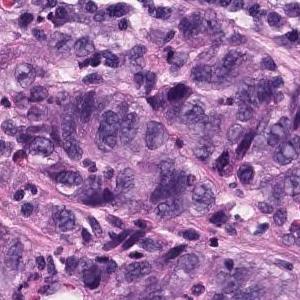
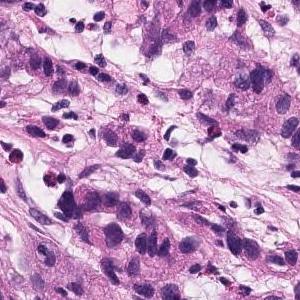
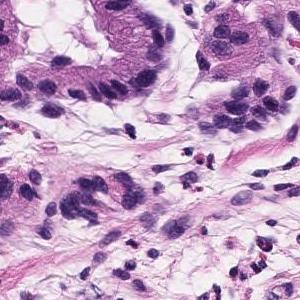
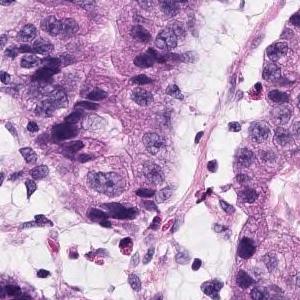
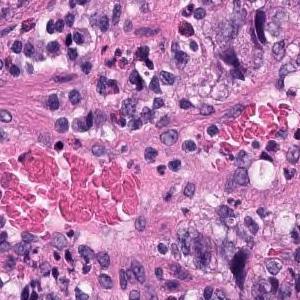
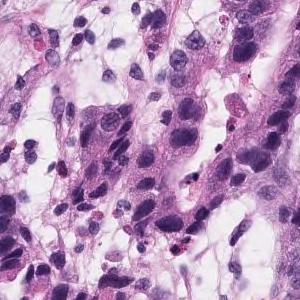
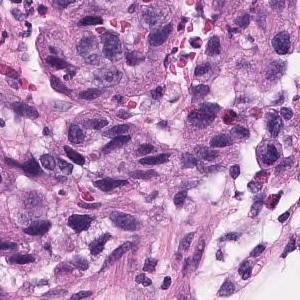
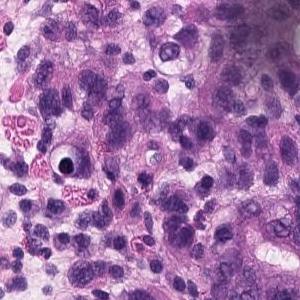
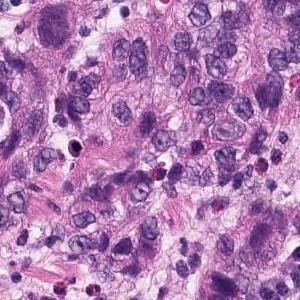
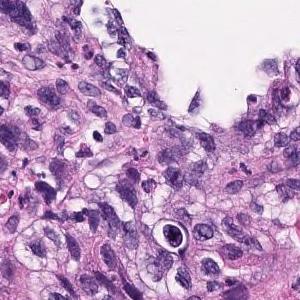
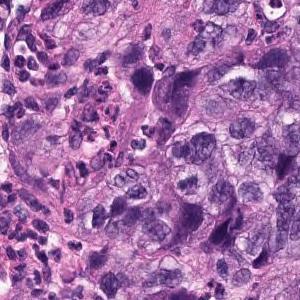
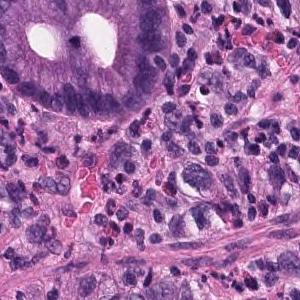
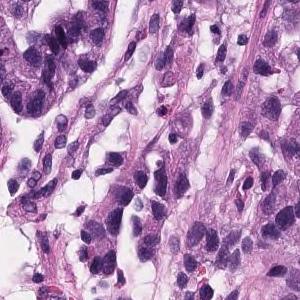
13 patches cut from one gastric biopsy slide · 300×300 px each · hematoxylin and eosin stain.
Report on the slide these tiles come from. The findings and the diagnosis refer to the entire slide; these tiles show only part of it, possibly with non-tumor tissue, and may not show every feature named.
Atypical l cells with atypical nuclei forming diffuse or small irregular atypical ducts and growing. Moderately to poorly differentiated adenocarcinoma (poorly differentiated adenocarcinoma, solid type, moderately differentiated tubular adenocarcinoma)
Histological subtype: Moderately to poorly differentiated adenocarcinoma.
The solid type named here is a Japanese Classification of Gastric Carcinoma category; WHO 2019 calls it tubular adenocarcinoma, poorly differentiated.
